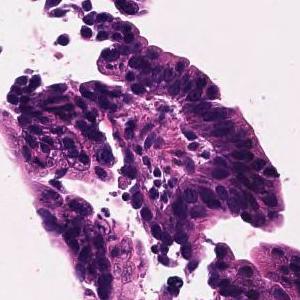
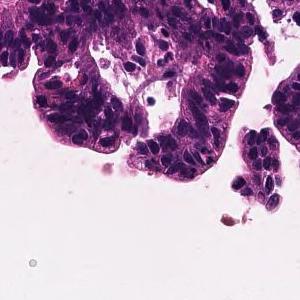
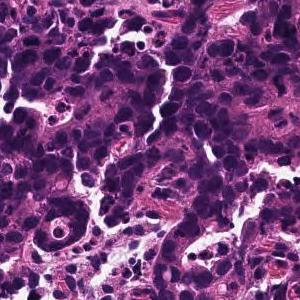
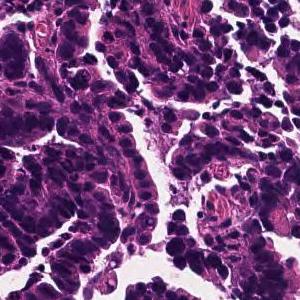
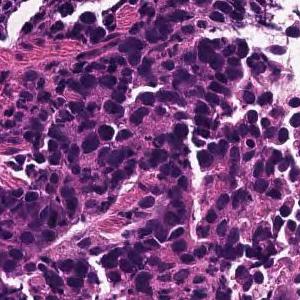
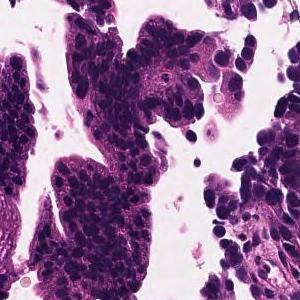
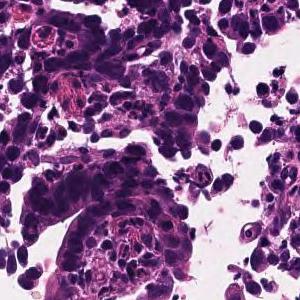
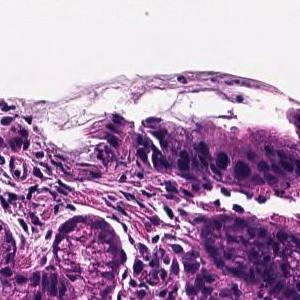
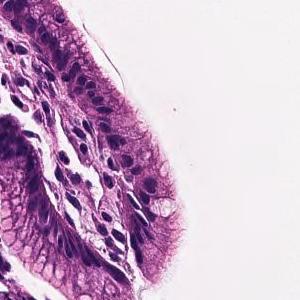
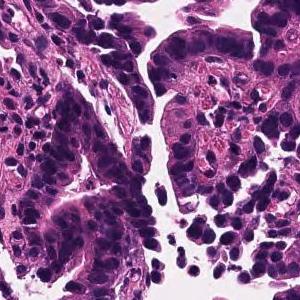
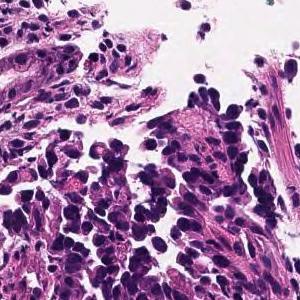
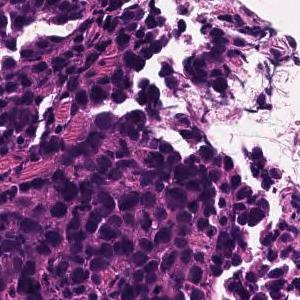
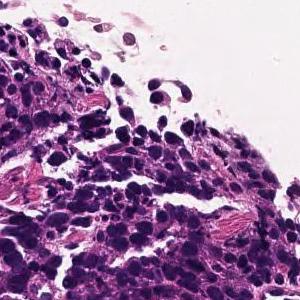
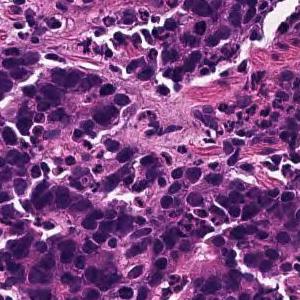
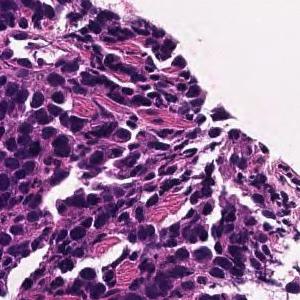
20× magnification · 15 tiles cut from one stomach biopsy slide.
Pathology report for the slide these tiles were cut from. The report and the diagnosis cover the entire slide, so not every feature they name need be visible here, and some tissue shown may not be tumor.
Medium to small, irregular glandular ducts are formed in the superficial epithelium, and in some cases, the glandular ducts are fused to show solid alveolar lesions and infiltrating tumor tissue is observed. Moderately to poorly differentiated adenocarcinoma.
